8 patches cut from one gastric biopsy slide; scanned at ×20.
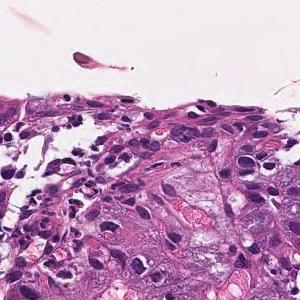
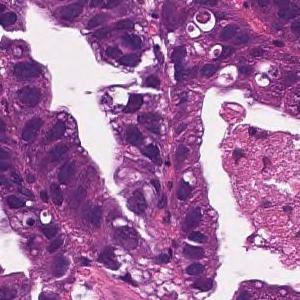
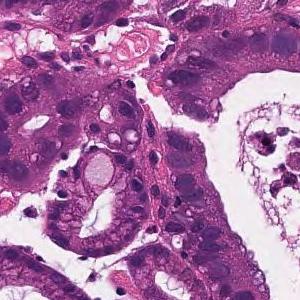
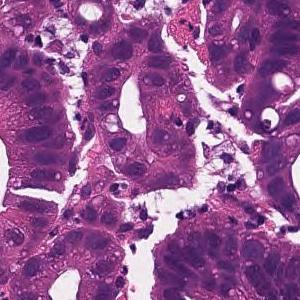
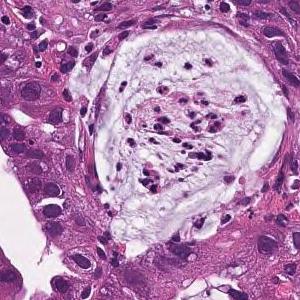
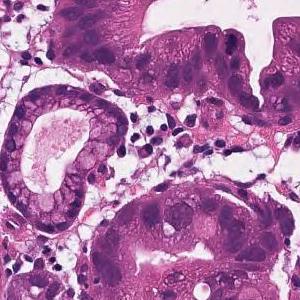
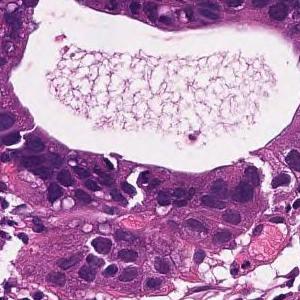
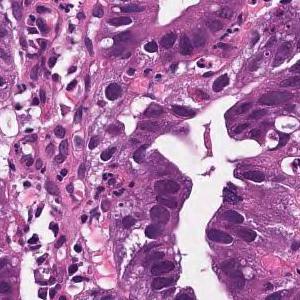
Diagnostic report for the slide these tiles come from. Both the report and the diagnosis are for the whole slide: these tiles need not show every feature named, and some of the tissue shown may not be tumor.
In the superficial epithelium, tumor tissue that invades by forming medium-sized to small, irregular ducts is observed. moderately differentiated tubular adenocarcinoma.
